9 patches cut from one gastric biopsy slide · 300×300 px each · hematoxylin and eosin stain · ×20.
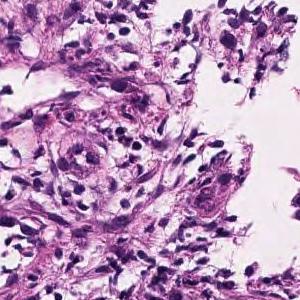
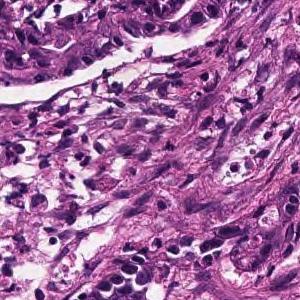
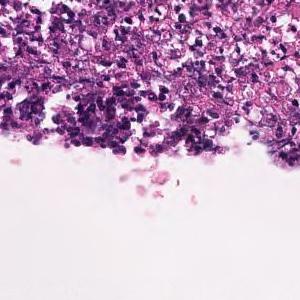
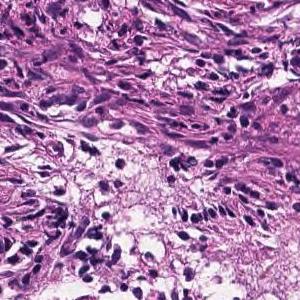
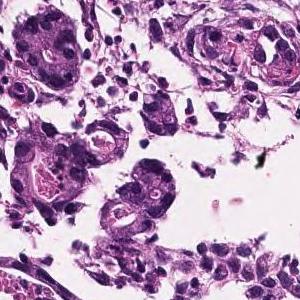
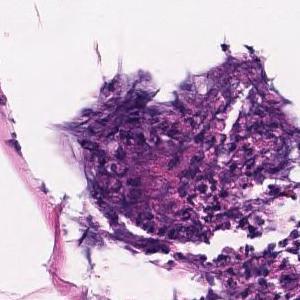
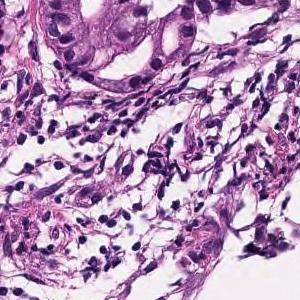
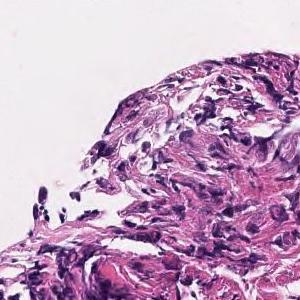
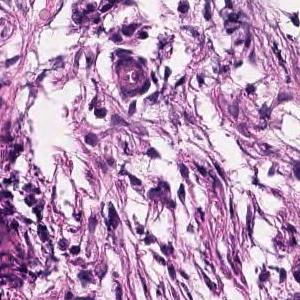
Pathology report for the slide these tiles were cut from. The report and the diagnosis cover the entire slide, so not every feature they name need be visible here, and some tissue shown may not be tumor.
In the superficial epithelium, medium to small, irregular gland ducts are formed, and in some cases, the gland ducts are fused to show solid alveolar lesions and infiltrating tumor tissue is observed. Moderately to poorly differentiated adenocarcinoma.
